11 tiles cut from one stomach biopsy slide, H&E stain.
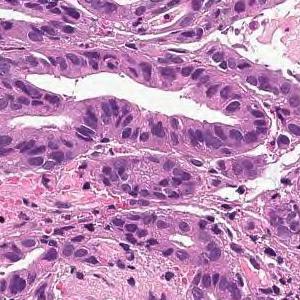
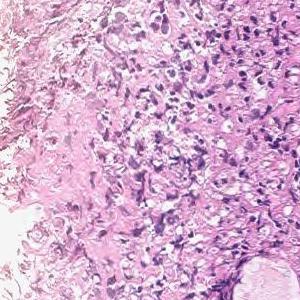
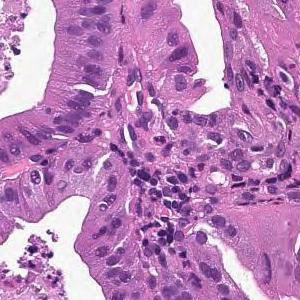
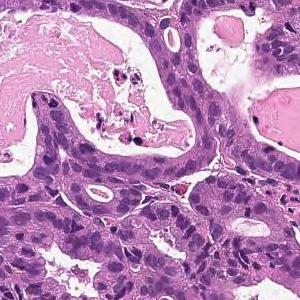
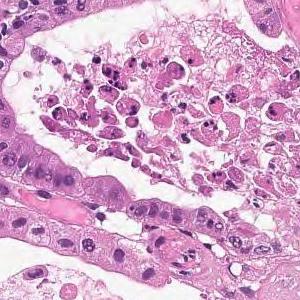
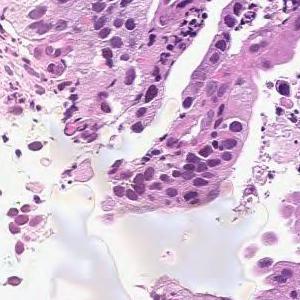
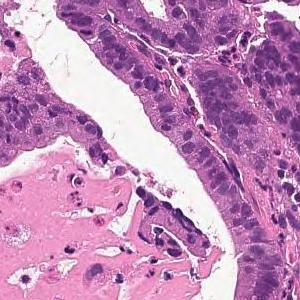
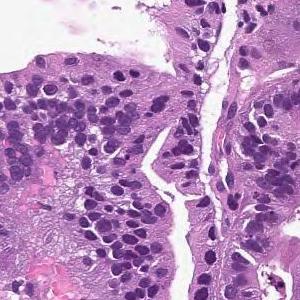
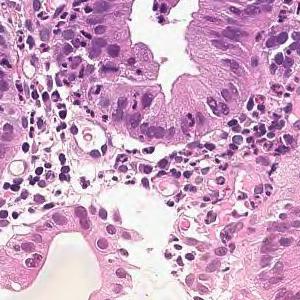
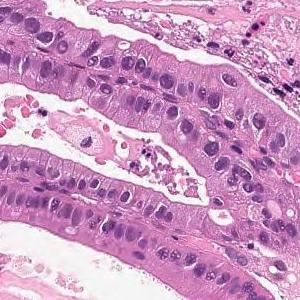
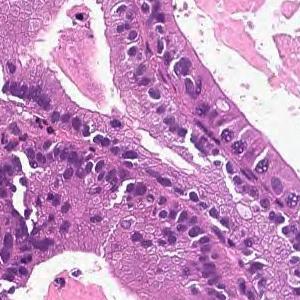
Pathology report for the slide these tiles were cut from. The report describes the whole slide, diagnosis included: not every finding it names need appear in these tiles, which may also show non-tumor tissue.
From the superficial epithelium to the muscularis mucosae, tumor tissue consisting of medium-sized and irregular glandular ducts infiltrating is observed. Well differentiated tubular adenocarcinoma
